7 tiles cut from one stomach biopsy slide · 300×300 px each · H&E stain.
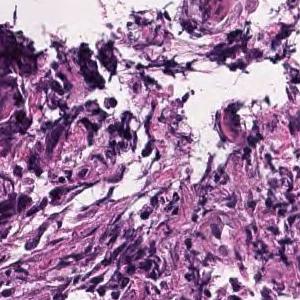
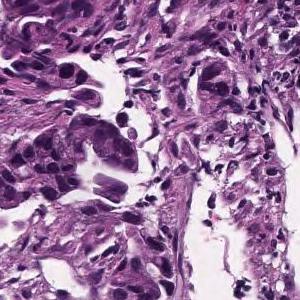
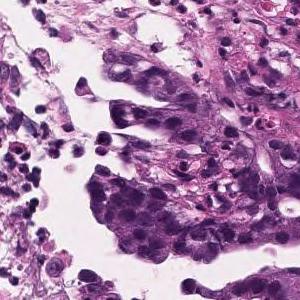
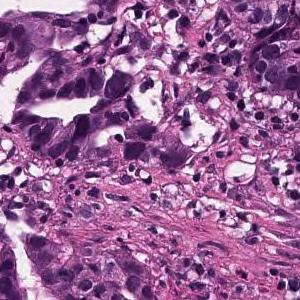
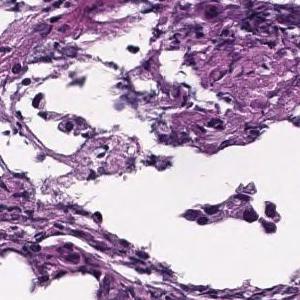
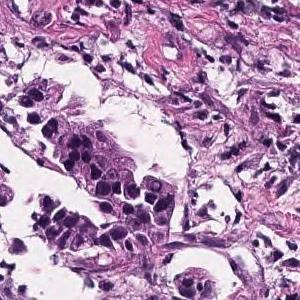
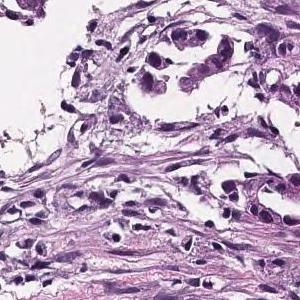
Pathology report for the slide these tiles were cut from. The findings and the diagnosis refer to the entire slide; these tiles show only part of it, possibly with non-tumor tissue, and may not show every feature named.
In the superficial epithelium, tumor tissue that invades by forming medium-sized to small, irregular ducts is observed. moderately differentiated tubular adenocarcinoma.
